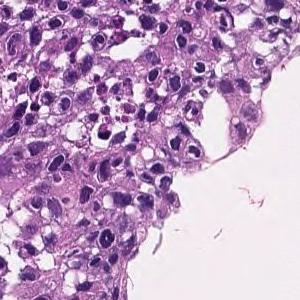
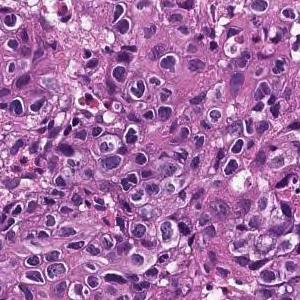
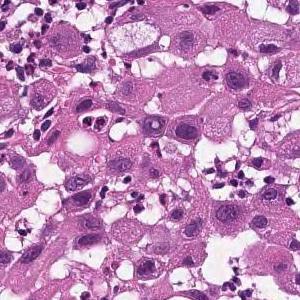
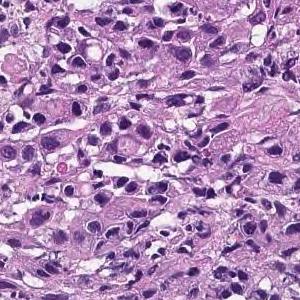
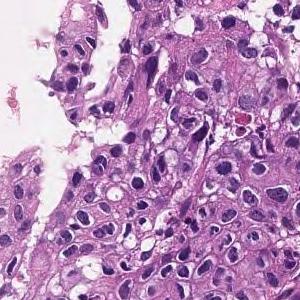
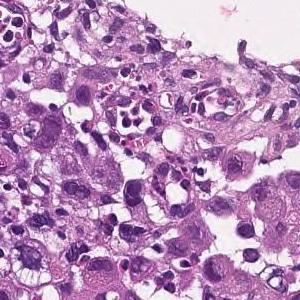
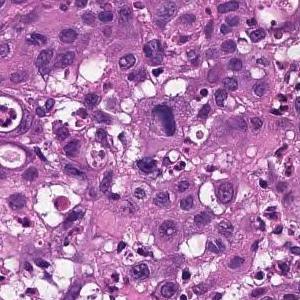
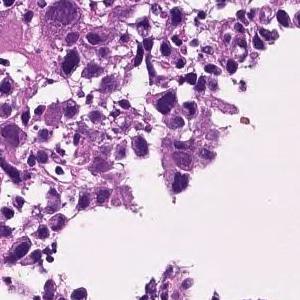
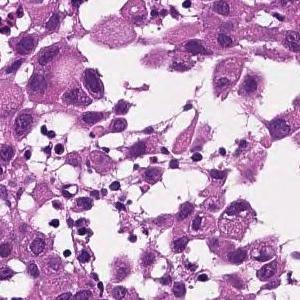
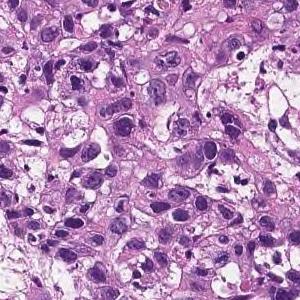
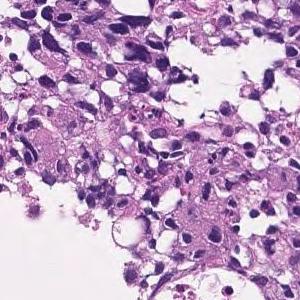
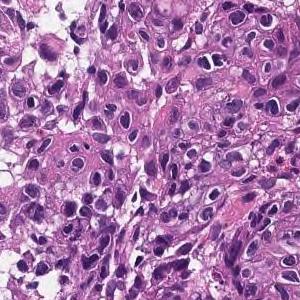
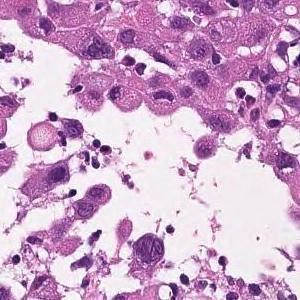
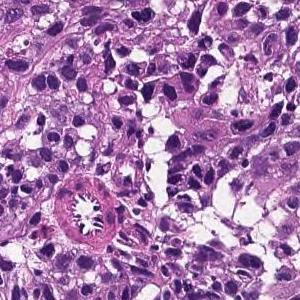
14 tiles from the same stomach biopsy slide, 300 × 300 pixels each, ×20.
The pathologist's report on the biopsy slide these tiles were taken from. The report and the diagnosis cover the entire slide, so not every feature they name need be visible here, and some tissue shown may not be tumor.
The superficial epithelium shows a large sheet-like shape, and some tumor tissue infiltrates with small irregular ducts. Poorly differentiated adenocarcinoma, solid-type
Tumor subtype: poorly differentiated adenocarcinoma, solid type, a category of the Japanese Classification of Gastric Carcinoma; in the WHO 2019 classification it is tubular adenocarcinoma, poorly differentiated.
